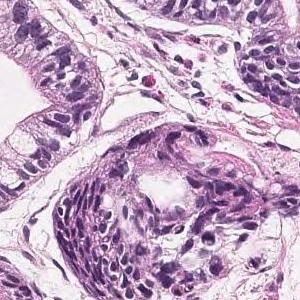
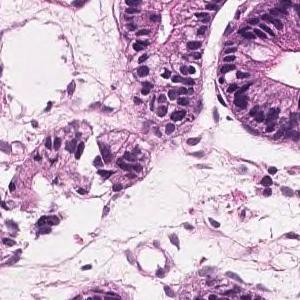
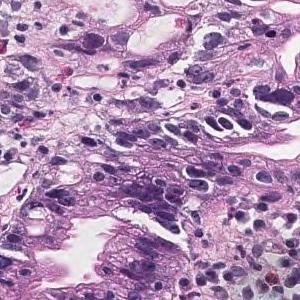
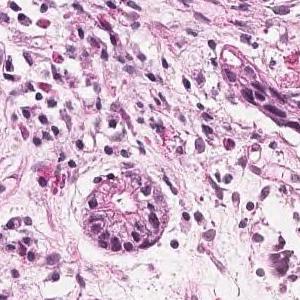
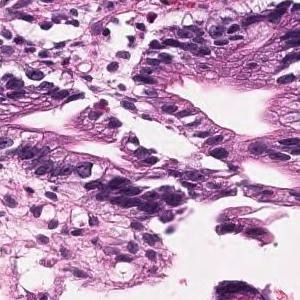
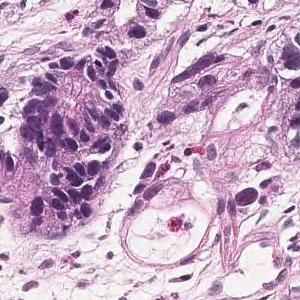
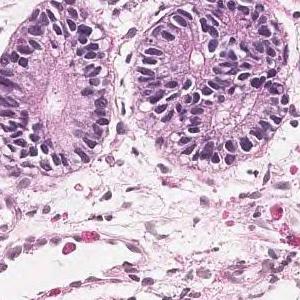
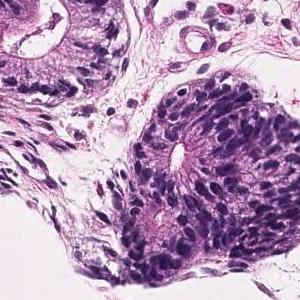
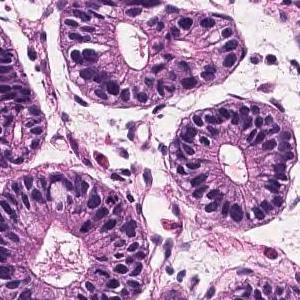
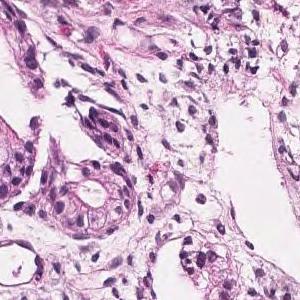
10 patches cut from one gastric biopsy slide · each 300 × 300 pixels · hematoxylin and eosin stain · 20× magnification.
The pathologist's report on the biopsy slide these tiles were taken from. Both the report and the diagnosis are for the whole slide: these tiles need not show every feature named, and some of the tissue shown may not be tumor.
Tumor tissue in which medium to small irregular ducts infiltrate and proliferate in the submucosa can be seen in the epithelium. Well differentiated tubular adenocarcinoma
